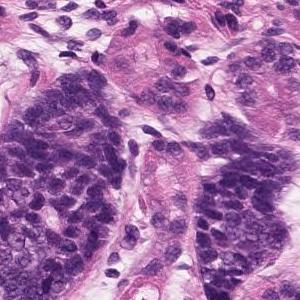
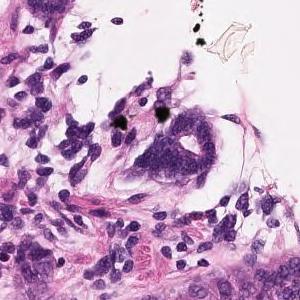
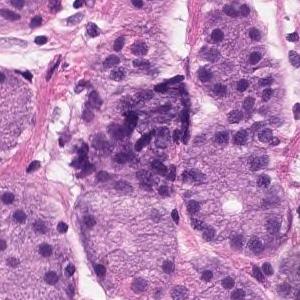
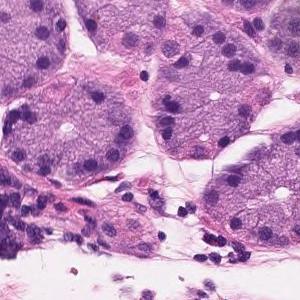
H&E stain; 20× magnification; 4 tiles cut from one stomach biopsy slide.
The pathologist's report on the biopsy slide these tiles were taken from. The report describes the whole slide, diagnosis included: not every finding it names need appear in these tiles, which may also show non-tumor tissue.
In the superficial epithelium, tumor tissue that invades by forming medium-sized to small, irregular ducts is observed. Moderately differentiated adenocarcinoma.
Histological subtype: Moderately differentiated tubular adenocarcinoma.
